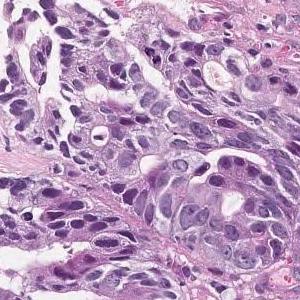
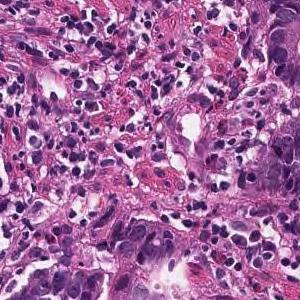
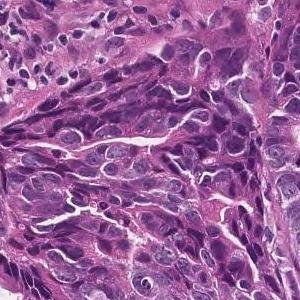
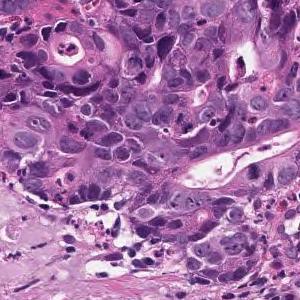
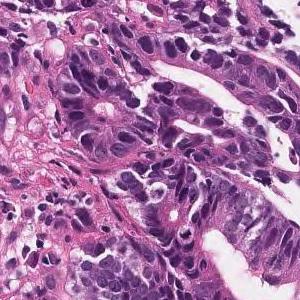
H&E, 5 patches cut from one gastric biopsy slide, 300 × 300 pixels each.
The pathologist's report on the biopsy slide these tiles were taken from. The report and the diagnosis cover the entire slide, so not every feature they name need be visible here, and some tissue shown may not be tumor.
In the superficial epithelium, tumor tissue that invades by forming medium-sized to small, irregular ducts is observed. moderately differentiated tubular adenocarcinoma.
